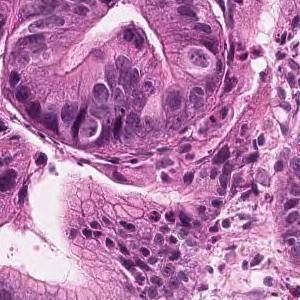
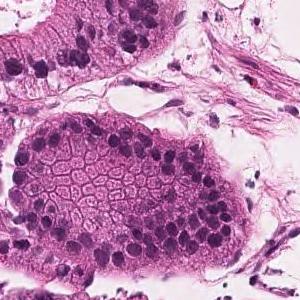
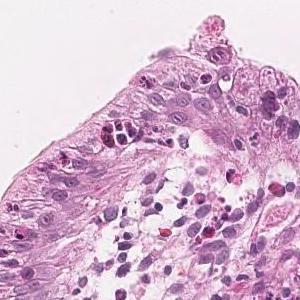
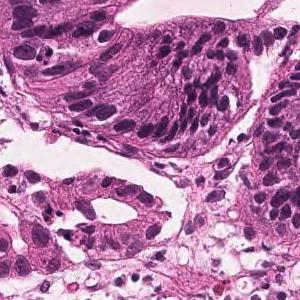
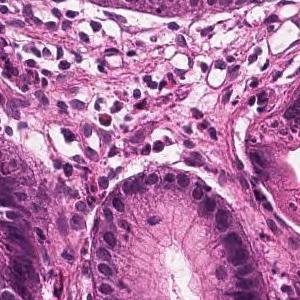
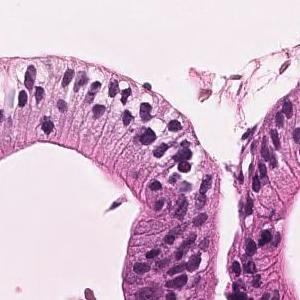
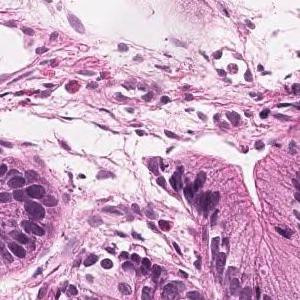
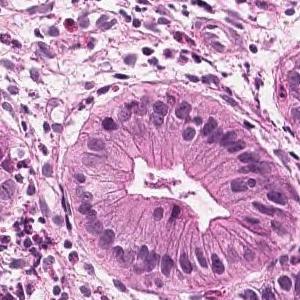
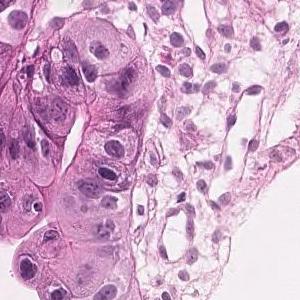
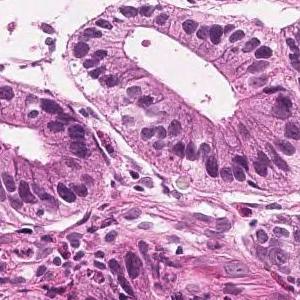
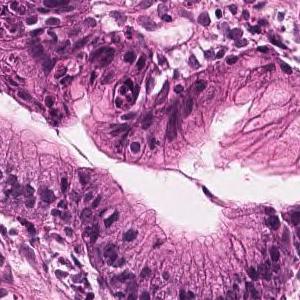
11 image tiles from a single gastric biopsy slide, 300 × 300 pixels each, H&E.
Pathology report for the biopsy slide these tiles were cut from. The report describes the whole slide, diagnosis included: not every finding it names need appear in these tiles, which may also show non-tumor tissue.
Tumor tissue consisting of medium-sized and irregular ducts is observed infiltrating in the superficial epithelium. Tumor cells are highly columnar, with nuclei aligned basolaterally and polarized. Well differentiated tubular adenocarcinoma.
